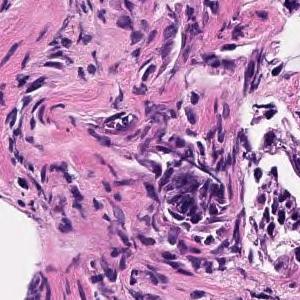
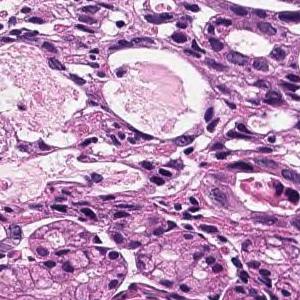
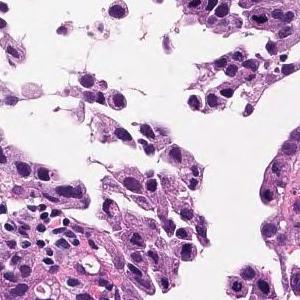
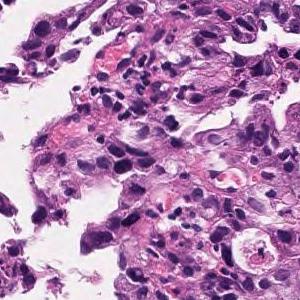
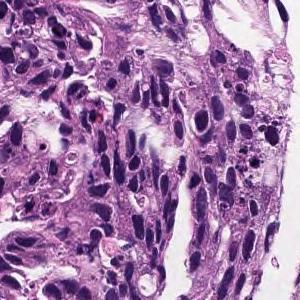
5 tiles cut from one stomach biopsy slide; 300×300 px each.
Pathology report for the slide these tiles were cut from. What the report and the diagnosis say applies to the whole slide; these tiles may miss some of the features named and may include tissue that is not tumor.
In the superficial epithelium, tumor tissue that invades by forming medium-sized to small, irregular ducts is observed. Moderately differentiated adenocarcinoma.
Histological subtype: Moderately differentiated tubular adenocarcinoma.
